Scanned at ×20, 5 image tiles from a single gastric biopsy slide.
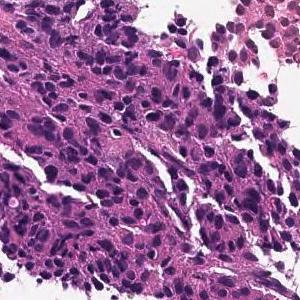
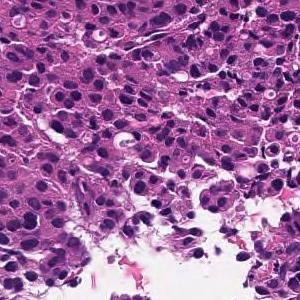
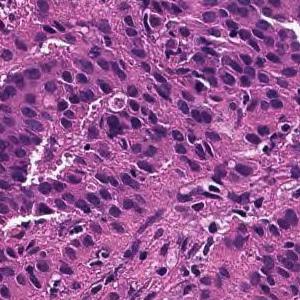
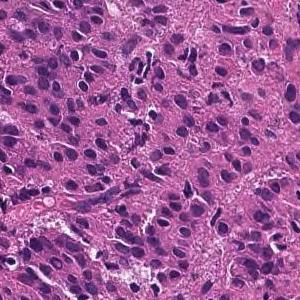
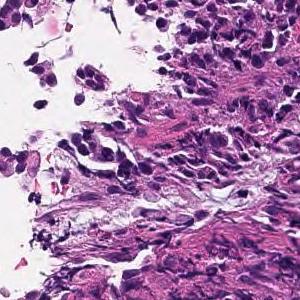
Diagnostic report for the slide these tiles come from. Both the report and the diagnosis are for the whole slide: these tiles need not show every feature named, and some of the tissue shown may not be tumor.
The superficial epithelium shows a large sheet-like shape, and some tumor tissue infiltrates with small irregular ducts. Poorly differentiated adenocarcinoma, solid-type
Subtype: Poorly differentiated adenocarcinoma, solid type (Japanese Classification of Gastric Carcinoma). The WHO 2019 equivalent is tubular adenocarcinoma, poorly differentiated.
